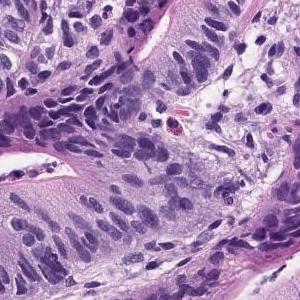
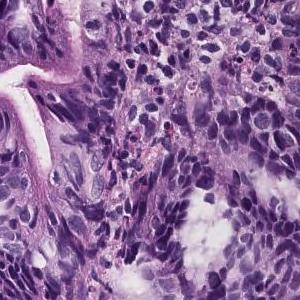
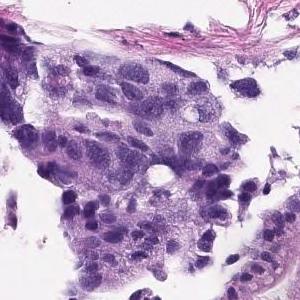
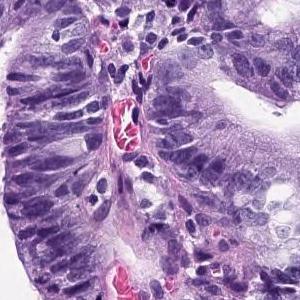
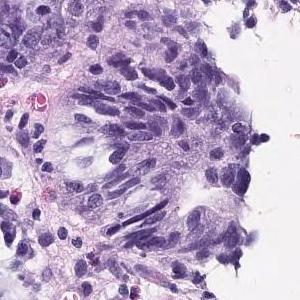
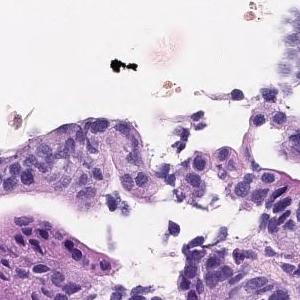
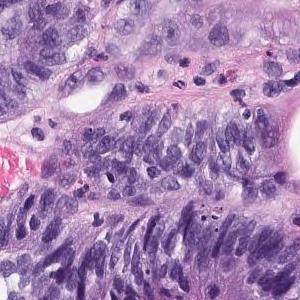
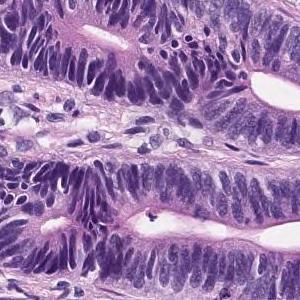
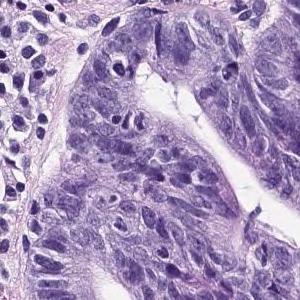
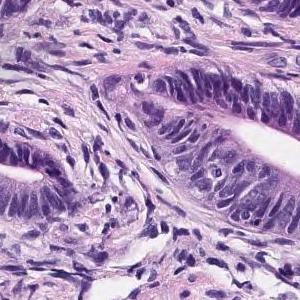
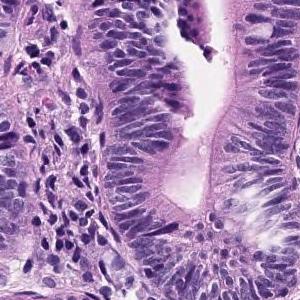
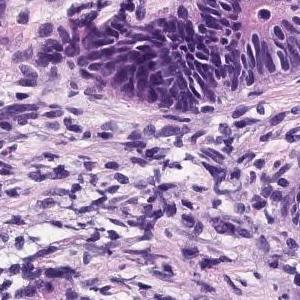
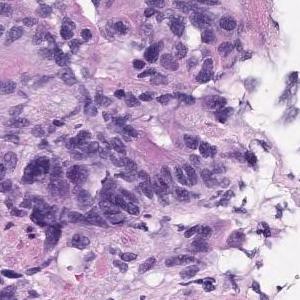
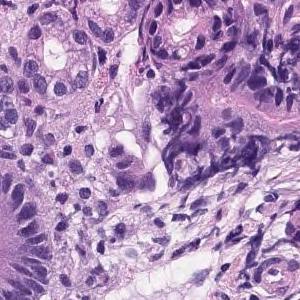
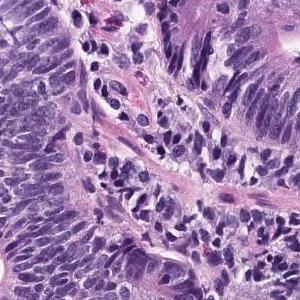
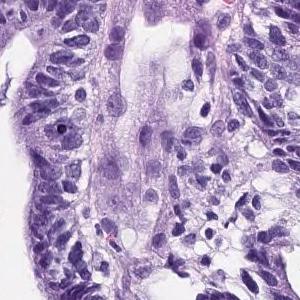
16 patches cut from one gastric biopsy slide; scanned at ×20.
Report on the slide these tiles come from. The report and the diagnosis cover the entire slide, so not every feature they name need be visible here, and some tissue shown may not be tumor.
On the superficial epithelium, tumor tissue consisting of medium-sized to large-sized, round or irregular glandular duct growth images is observed. Well differentiated adenocarcinoma.
Histological subtype: Well differentiated tubular adenocarcinoma.
